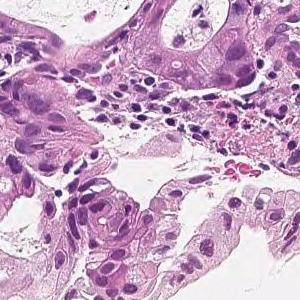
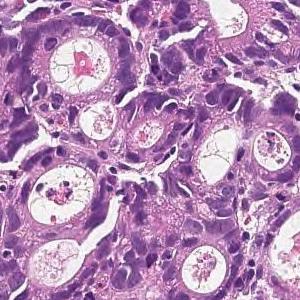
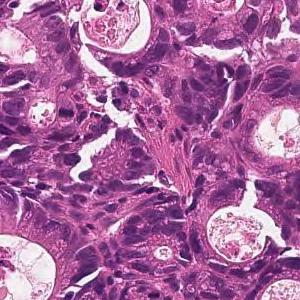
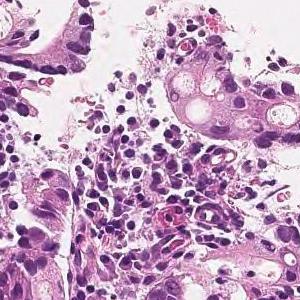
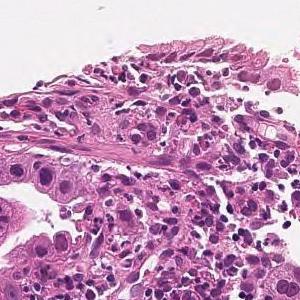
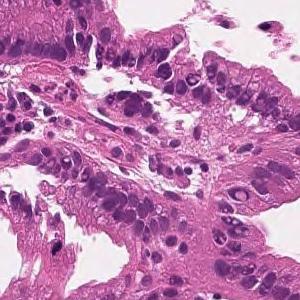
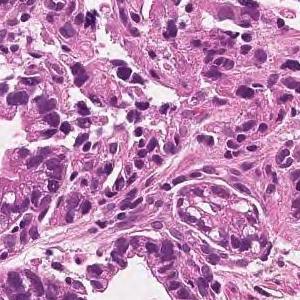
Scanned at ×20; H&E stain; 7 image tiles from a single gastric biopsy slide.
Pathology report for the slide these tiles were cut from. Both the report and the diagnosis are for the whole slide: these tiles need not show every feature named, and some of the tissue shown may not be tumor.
On the superficial epithelium, tumor tissue is found in which medium-sized irregular gland ducts fuse with each other and infiltrate. moderately differentiated tubular adenocarcinoma
